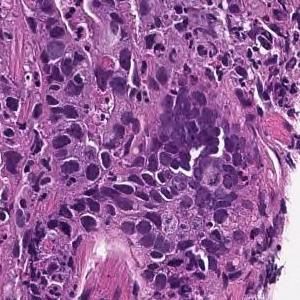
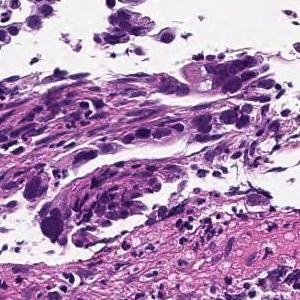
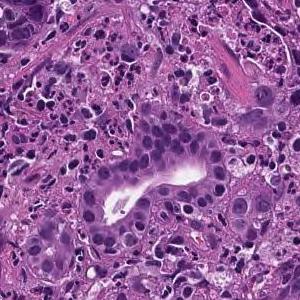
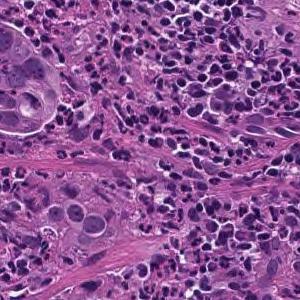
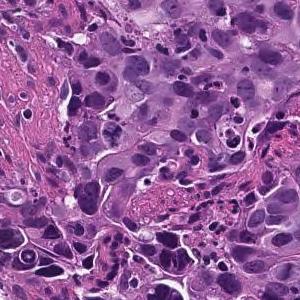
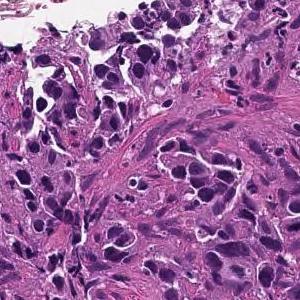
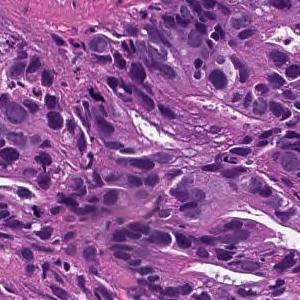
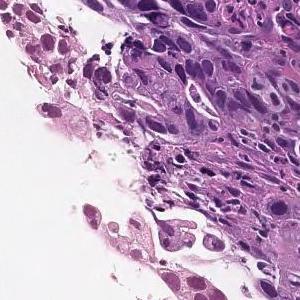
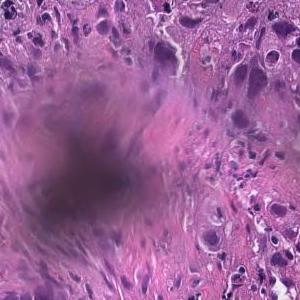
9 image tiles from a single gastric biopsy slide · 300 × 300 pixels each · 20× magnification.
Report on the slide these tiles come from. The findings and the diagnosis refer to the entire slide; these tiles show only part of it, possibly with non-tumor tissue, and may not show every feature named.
Tumor tissue consisting of medium-sized, cord-like or irregular glandular infiltration is observed in the superficial epithelium. Poorly differentiated adenocarcinoma, non-solid type or moderately differentiated tubular adenocarcinoma
Subtype: Moderately to poorly differentiated adenocarcinoma.
The term "non-solid type" comes from the Japanese Classification of Gastric Carcinoma.
